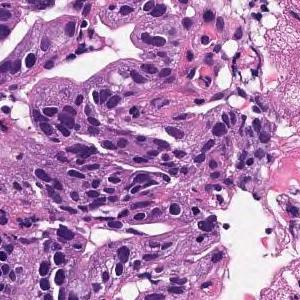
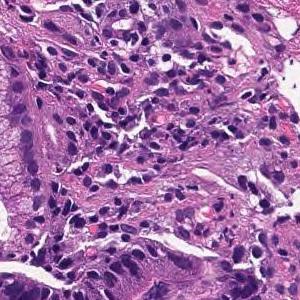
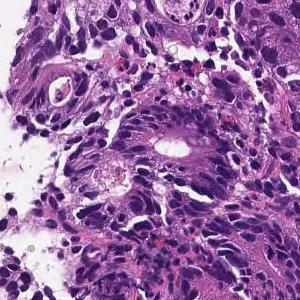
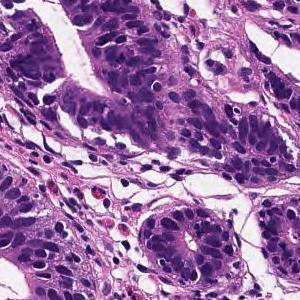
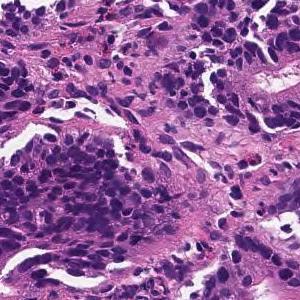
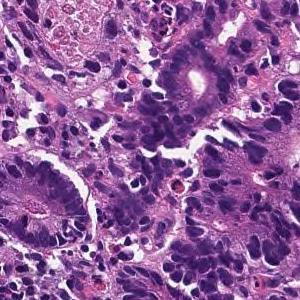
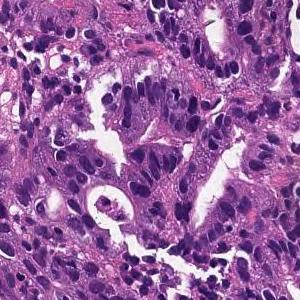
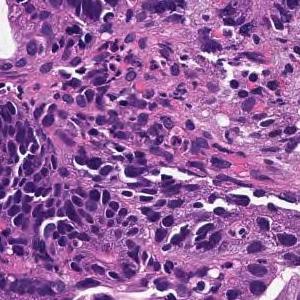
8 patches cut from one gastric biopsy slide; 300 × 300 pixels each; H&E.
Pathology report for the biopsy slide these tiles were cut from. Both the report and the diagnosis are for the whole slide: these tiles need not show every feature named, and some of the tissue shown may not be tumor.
In the superficial epithelium, tumor tissue that invades by forming medium-sized to small, irregular ducts is observed. moderately differentiated tubular adenocarcinoma.
